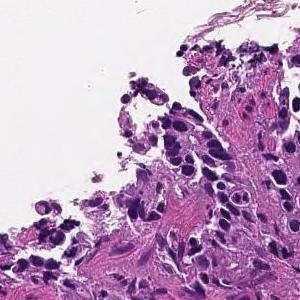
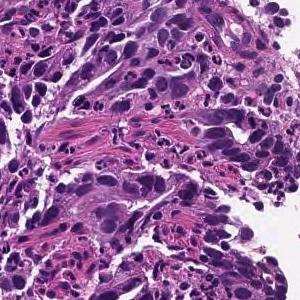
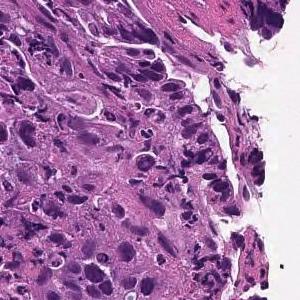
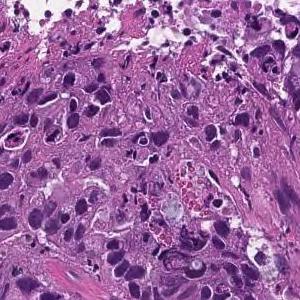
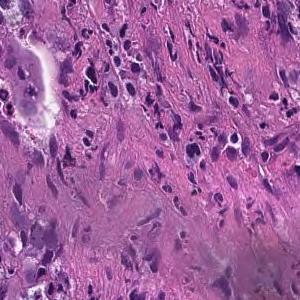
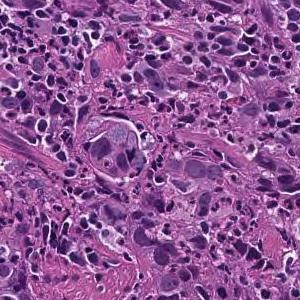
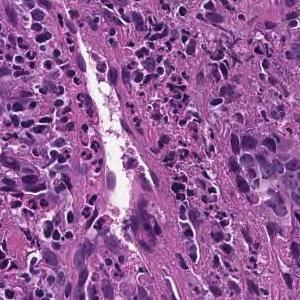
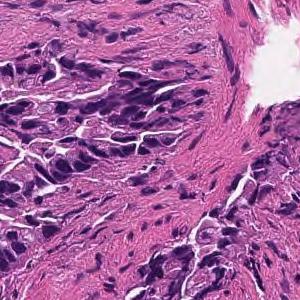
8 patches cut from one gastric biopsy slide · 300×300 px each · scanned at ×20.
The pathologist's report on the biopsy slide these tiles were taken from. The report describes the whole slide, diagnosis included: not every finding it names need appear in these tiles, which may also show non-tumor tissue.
Tumor tissue consisting of medium-sized, cord-like or irregular glandular infiltration is observed in the superficial epithelium. Poorly differentiated adenocarcinoma, non-solid type or moderately differentiated tubular adenocarcinoma
Subtype: Moderately to poorly differentiated adenocarcinoma.
The term "non-solid type" comes from the Japanese Classification of Gastric Carcinoma.
